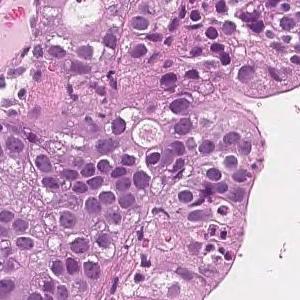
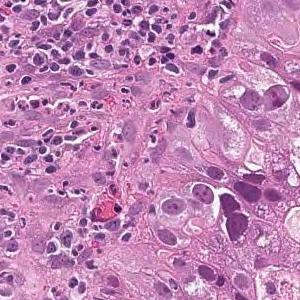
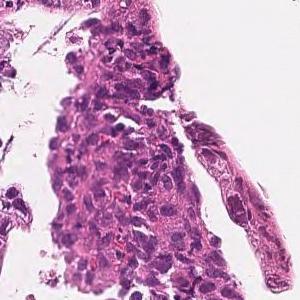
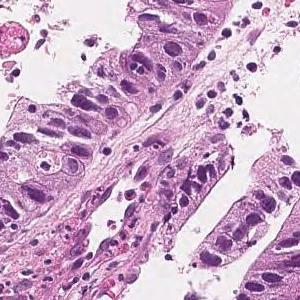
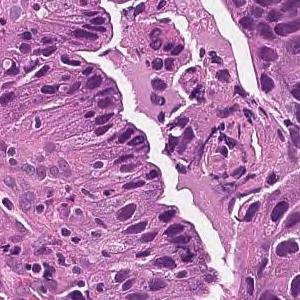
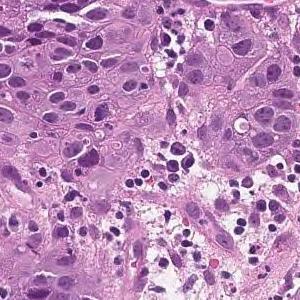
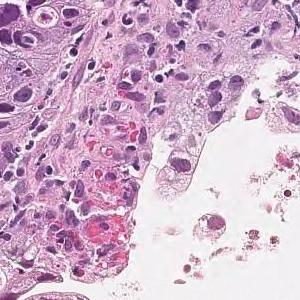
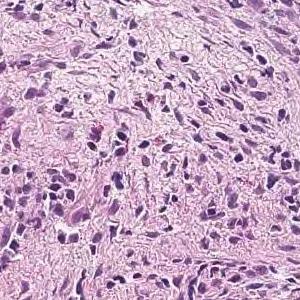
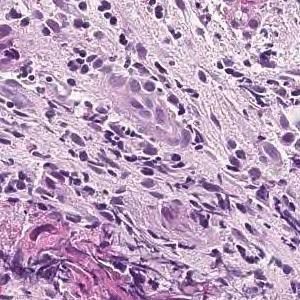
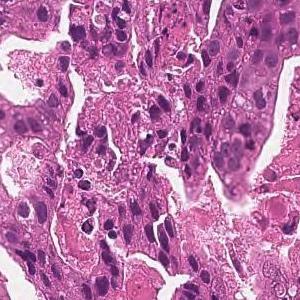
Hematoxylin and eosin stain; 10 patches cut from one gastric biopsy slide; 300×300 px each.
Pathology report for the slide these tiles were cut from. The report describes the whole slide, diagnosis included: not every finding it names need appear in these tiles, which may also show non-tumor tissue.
In the superficial epithelium, tumor tissue that invades by forming medium-sized to small, irregular ducts is observed. moderately differentiated tubular adenocarcinoma.
